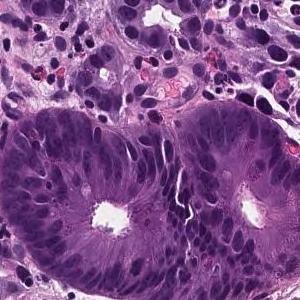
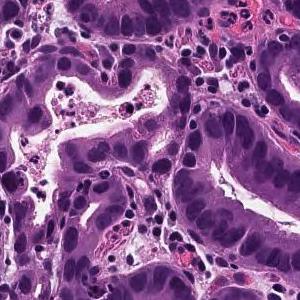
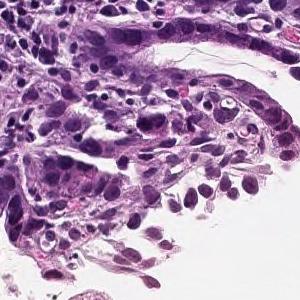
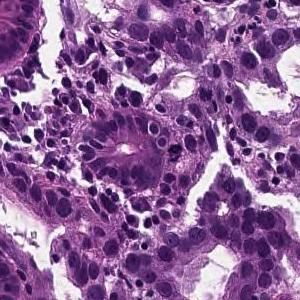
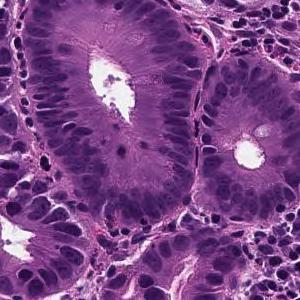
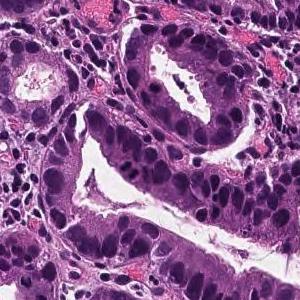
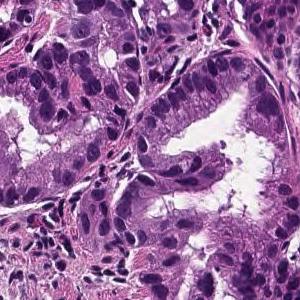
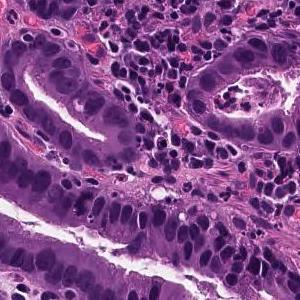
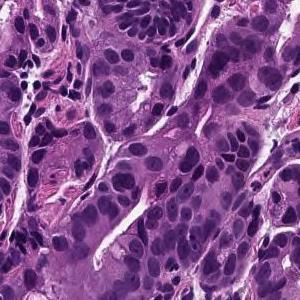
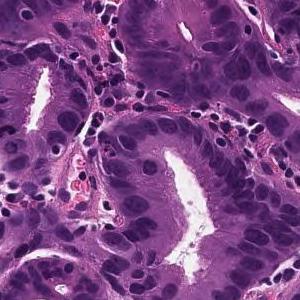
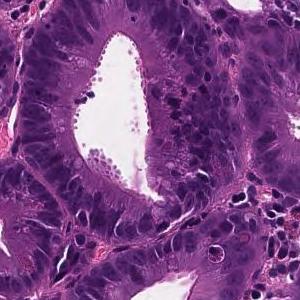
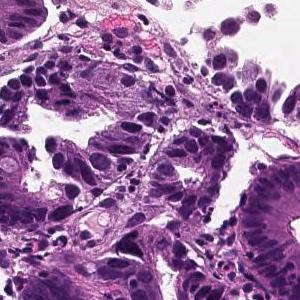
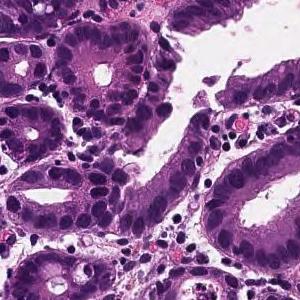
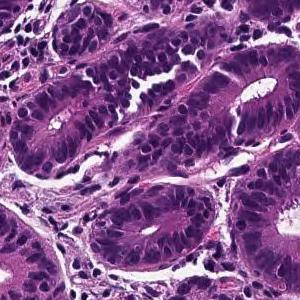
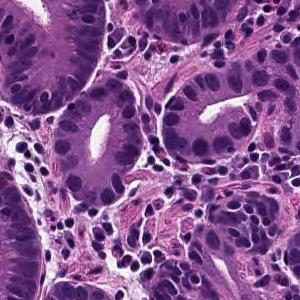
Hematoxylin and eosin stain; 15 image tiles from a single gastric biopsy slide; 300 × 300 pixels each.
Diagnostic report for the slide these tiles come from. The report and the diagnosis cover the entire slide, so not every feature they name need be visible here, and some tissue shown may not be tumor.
From the superficial epithelium to the muscularis mucosae, tumor tissue consisting of medium-sized and irregular glandular ducts infiltrating is observed. Well differentiated tubular adenocarcinoma
